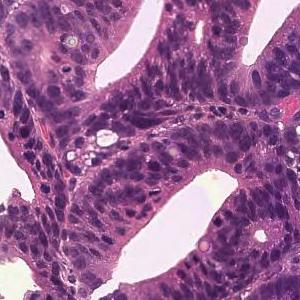
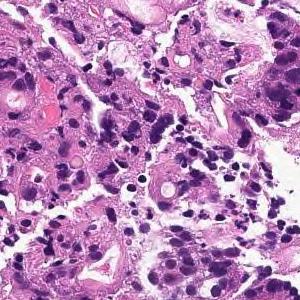
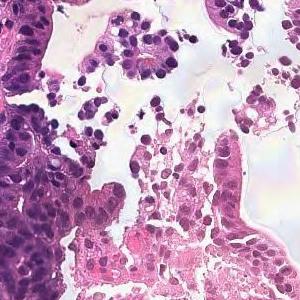
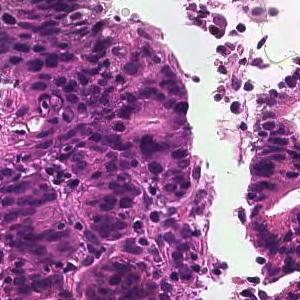
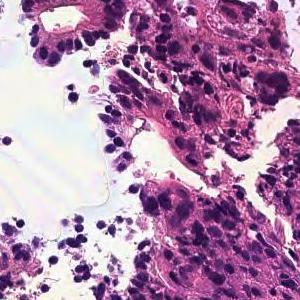
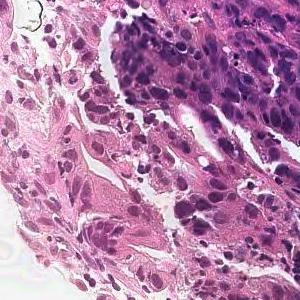
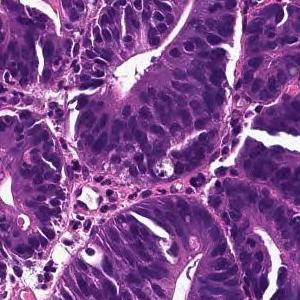
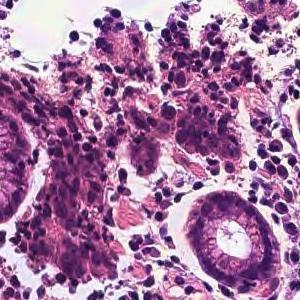
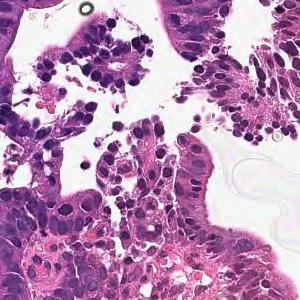
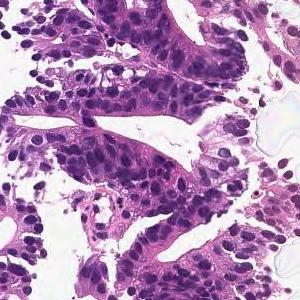
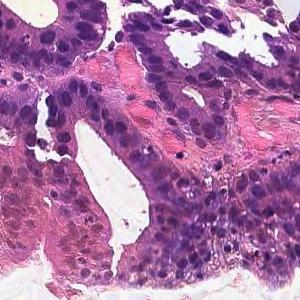
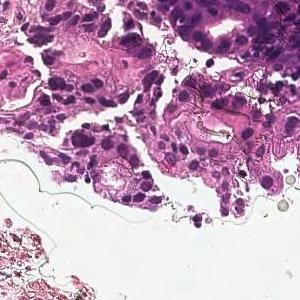
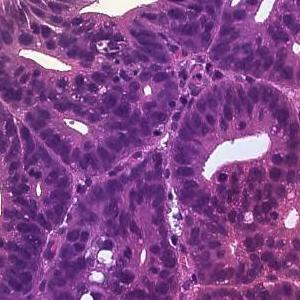
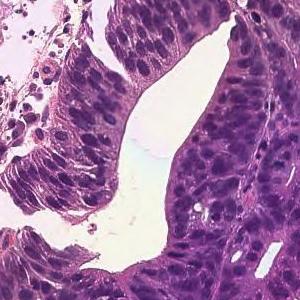
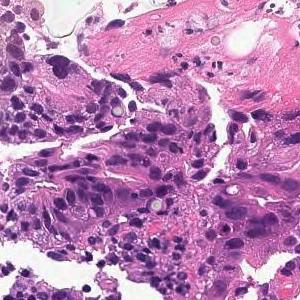
H&E; ×20; 15 patches cut from one gastric biopsy slide; 300×300 px each.
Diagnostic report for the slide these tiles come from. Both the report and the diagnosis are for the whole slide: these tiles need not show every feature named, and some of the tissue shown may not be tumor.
On the superficial epithelium, tumor tissue consisting of large irregular glandular ducts partially fused and infiltrated is observed. Well to moderately differentiated tubular adenocarcinoma (well differentiated tubular adenocarcinoma, moderately differentiated tubular adenocarcinoma)
Subtype: Well to moderately differentiated tubular adenocarcinoma.
